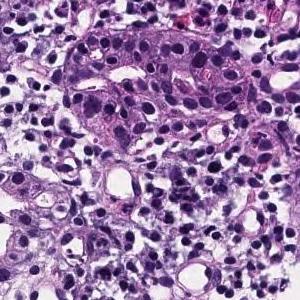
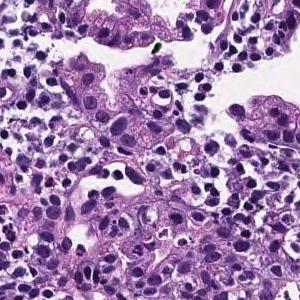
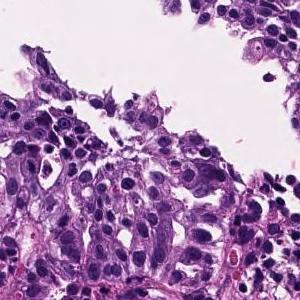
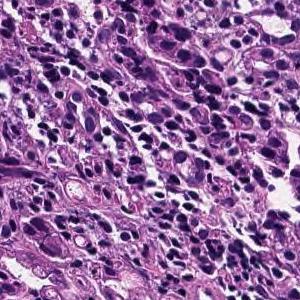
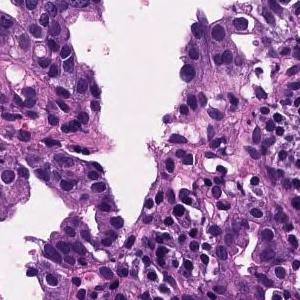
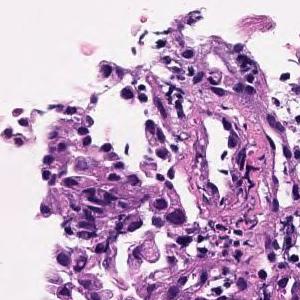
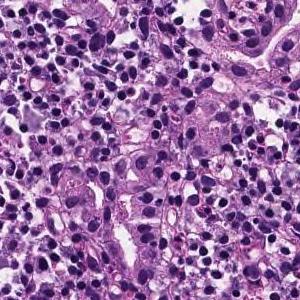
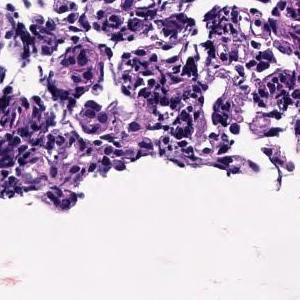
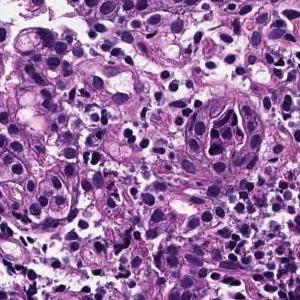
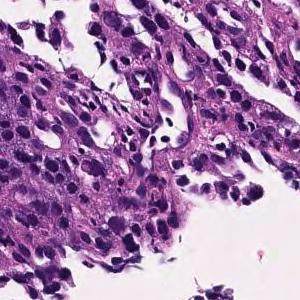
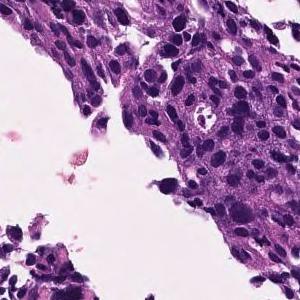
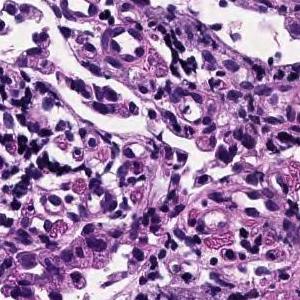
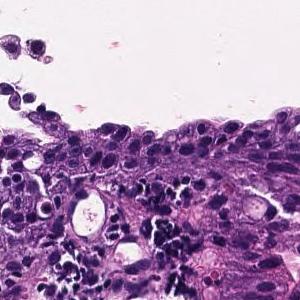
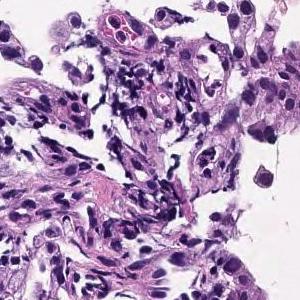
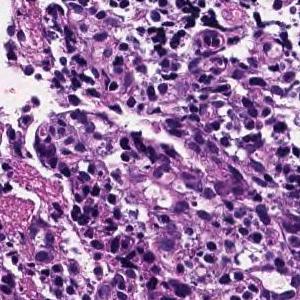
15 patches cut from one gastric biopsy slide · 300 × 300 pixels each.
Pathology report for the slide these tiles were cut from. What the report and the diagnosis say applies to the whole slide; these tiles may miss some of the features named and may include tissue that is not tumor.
Medium to small, irregular glandular ducts are formed in the superficial epithelium, and in some cases, the glandular ducts are fused to show solid alveolar lesions and infiltrating tumor tissue is observed. Moderately to poorly differentiated adenocarcinoma.
